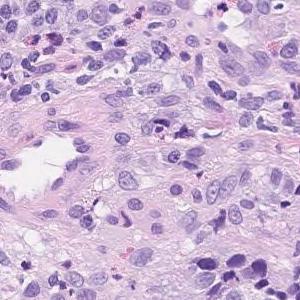
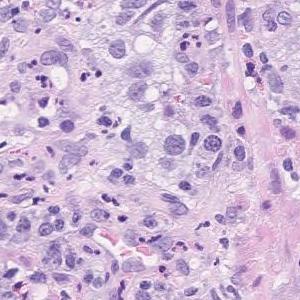
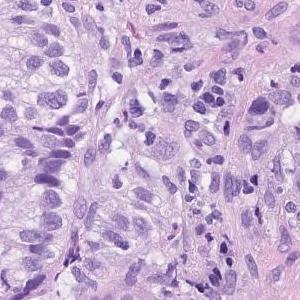
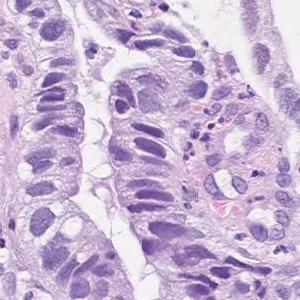
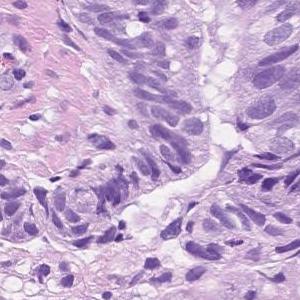
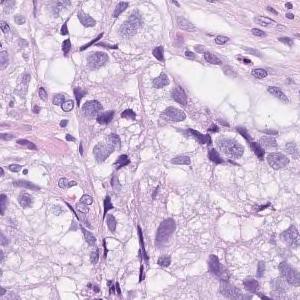
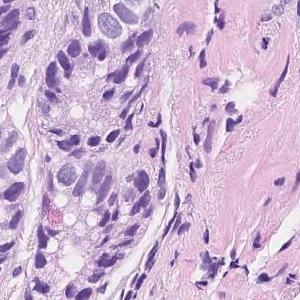
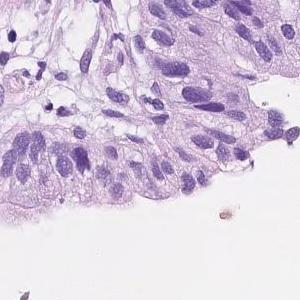
20× magnification · H&E · 8 tiles from the same stomach biopsy slide.
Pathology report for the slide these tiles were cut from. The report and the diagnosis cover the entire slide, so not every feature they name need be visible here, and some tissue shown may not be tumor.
Atypical l cells with atypical nuclei forming solid or diffuse vesicles or small irregular atypical ducts and growing in a complex manner. moderately differentiated tubular adenocarcinoma
